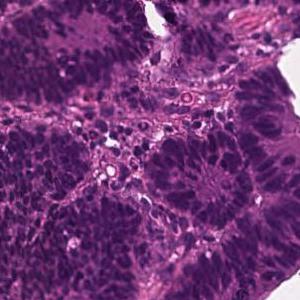
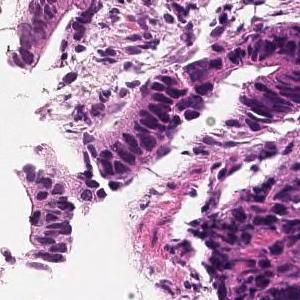
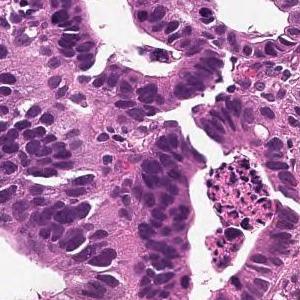
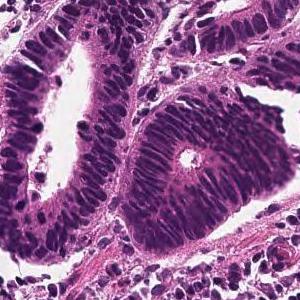
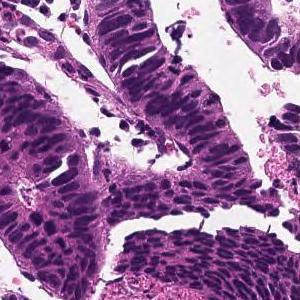
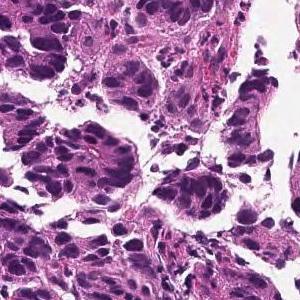
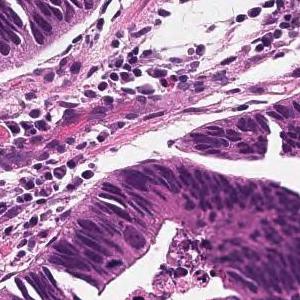
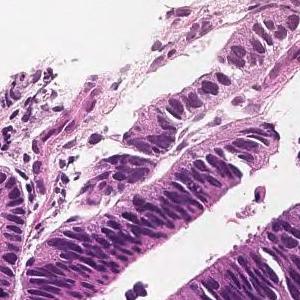
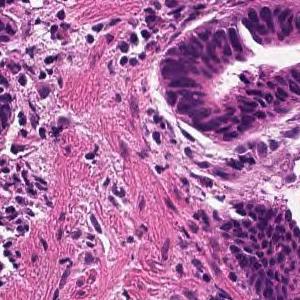
9 patches cut from one gastric biopsy slide, ×20.
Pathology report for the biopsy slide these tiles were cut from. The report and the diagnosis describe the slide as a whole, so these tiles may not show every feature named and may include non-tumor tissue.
From the superficial epithelium to the muscularis mucosae, tumor tissue consisting of medium-sized and irregular glandular ducts infiltrating is observed. Well differentiated tubular adenocarcinoma
